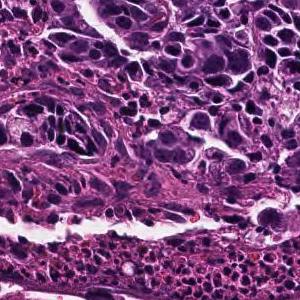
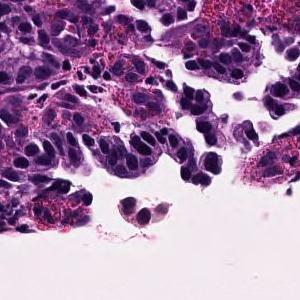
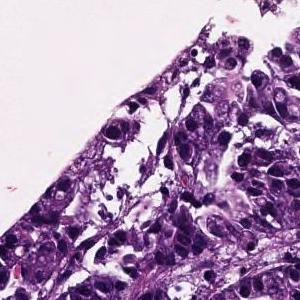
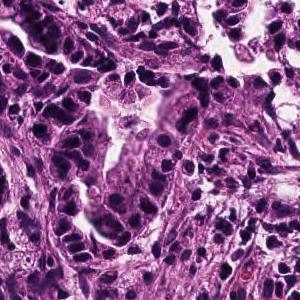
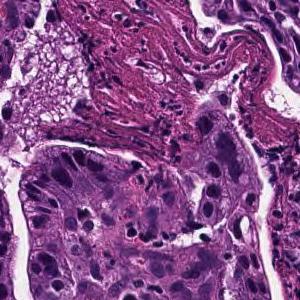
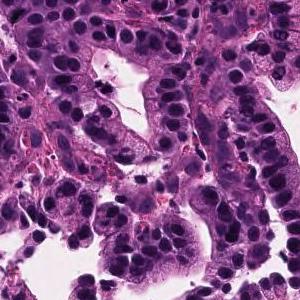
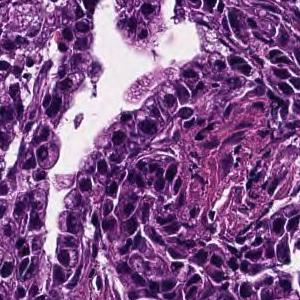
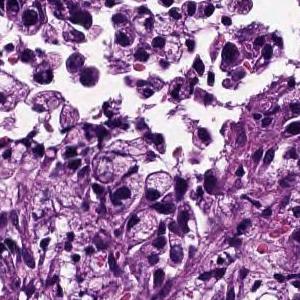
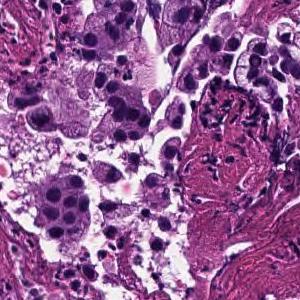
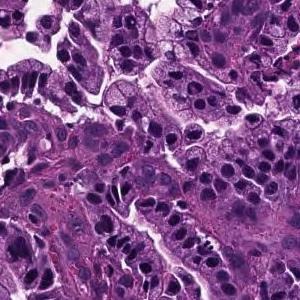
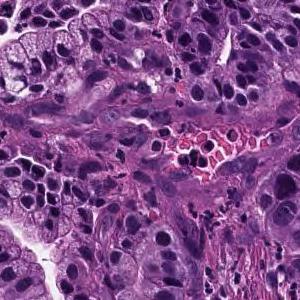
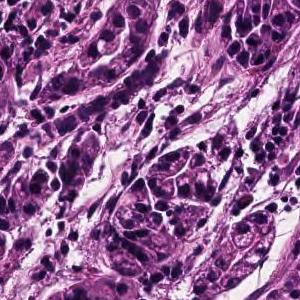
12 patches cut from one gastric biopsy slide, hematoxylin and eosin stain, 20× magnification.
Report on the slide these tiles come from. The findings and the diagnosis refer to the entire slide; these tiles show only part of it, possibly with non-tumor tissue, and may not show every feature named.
Tumor cells are large, highly columnar, large club-shaped nuclei, and are associated with chromatin aggregation. Papillary adenocarcinoma.
